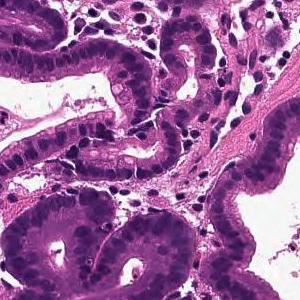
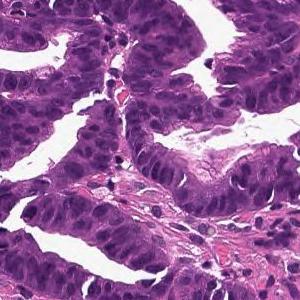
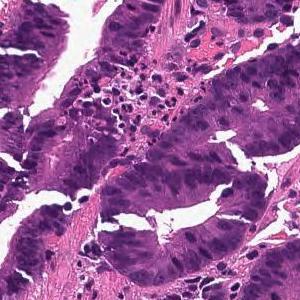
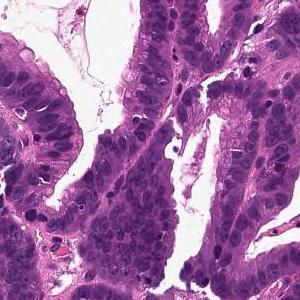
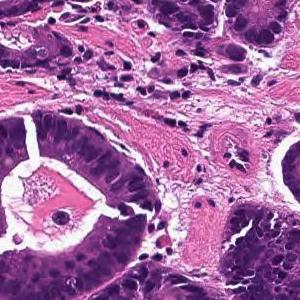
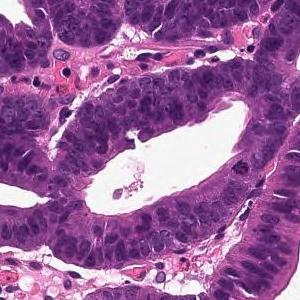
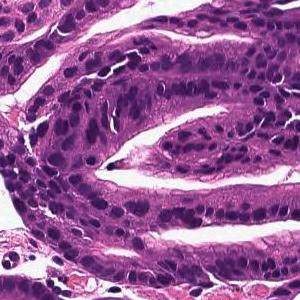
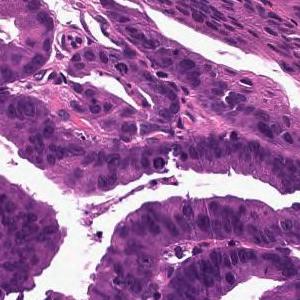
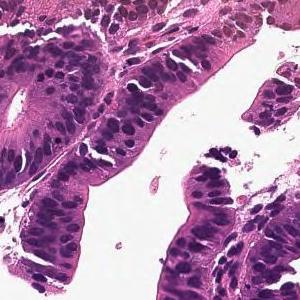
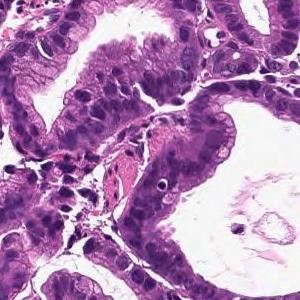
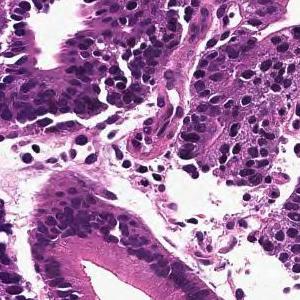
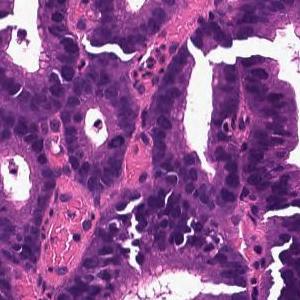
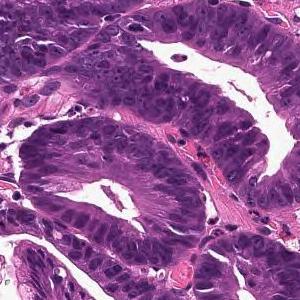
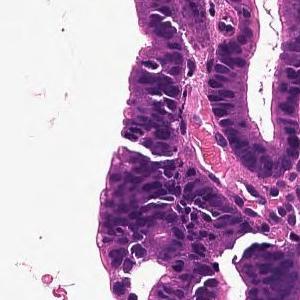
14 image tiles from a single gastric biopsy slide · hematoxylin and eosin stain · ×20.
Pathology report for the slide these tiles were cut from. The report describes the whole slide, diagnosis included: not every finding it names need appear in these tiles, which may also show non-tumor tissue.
From the superficial epithelium to the muscularis mucosae, tumor tissue consisting of medium-sized and irregular glandular ducts infiltrating is observed. Well differentiated tubular adenocarcinoma
